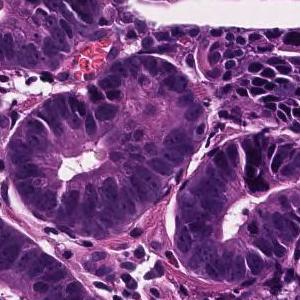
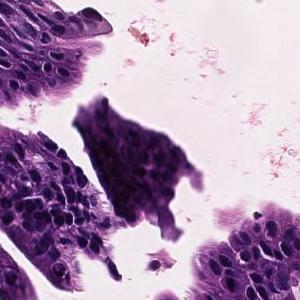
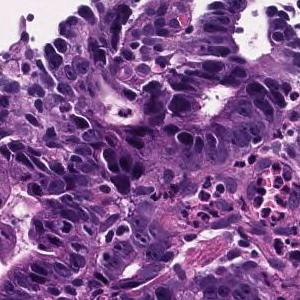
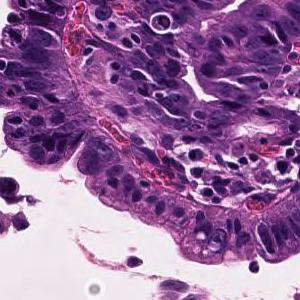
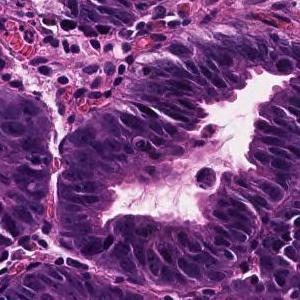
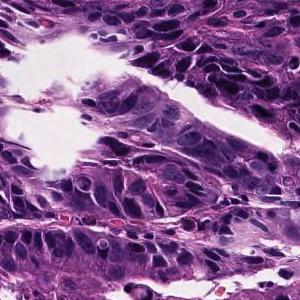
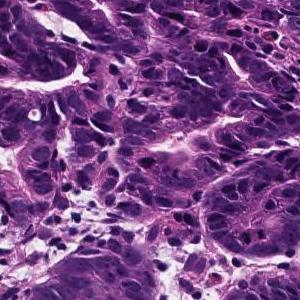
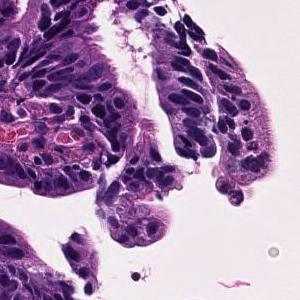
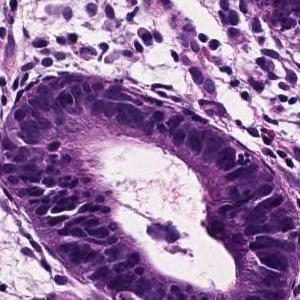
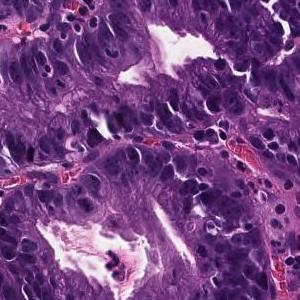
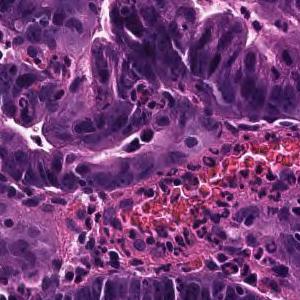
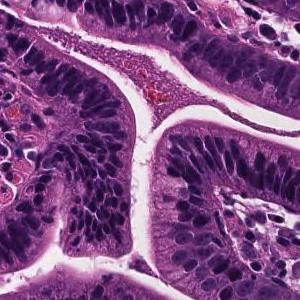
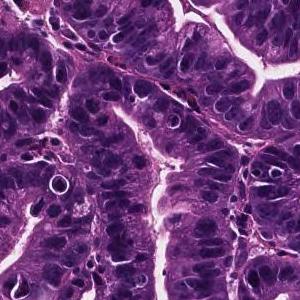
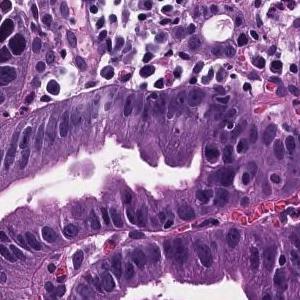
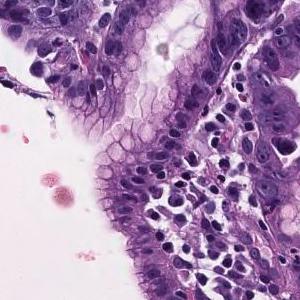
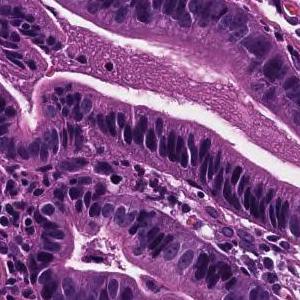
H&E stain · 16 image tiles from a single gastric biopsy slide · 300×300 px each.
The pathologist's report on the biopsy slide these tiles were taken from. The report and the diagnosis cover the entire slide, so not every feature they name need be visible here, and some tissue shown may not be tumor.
On the superficial epithelium, tumor tissue consisting of growth of medium-sized to large-sized, round or irregular glandular ducts is observed. Well differentiated tubular adenocarcinoma
